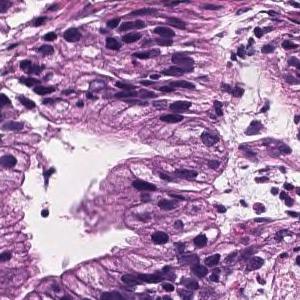
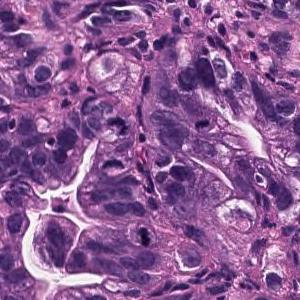
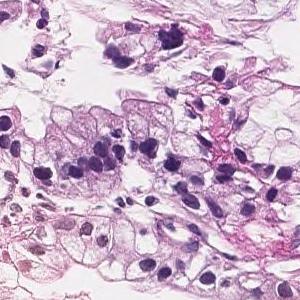
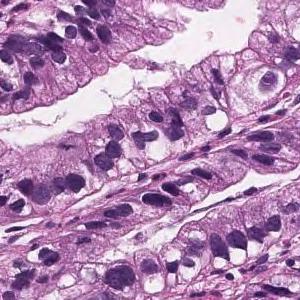
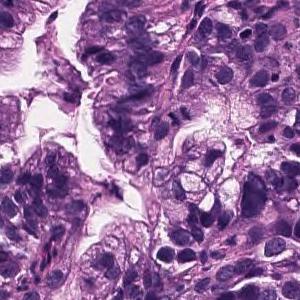
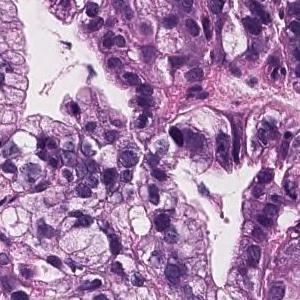
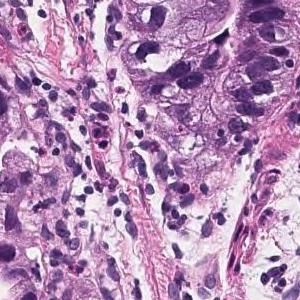
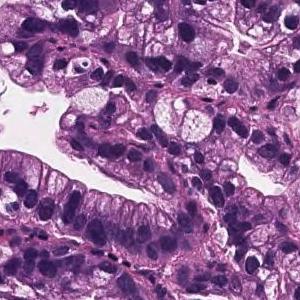
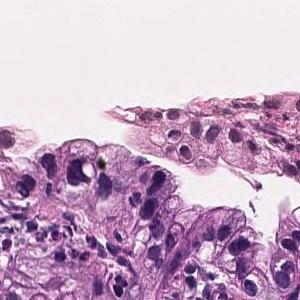
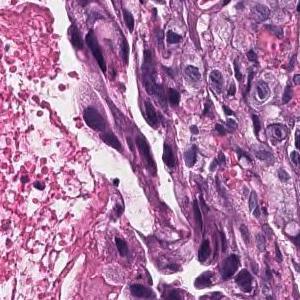
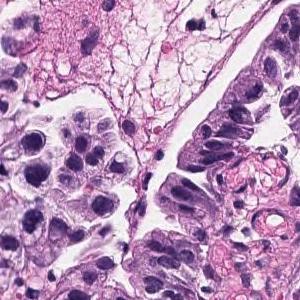
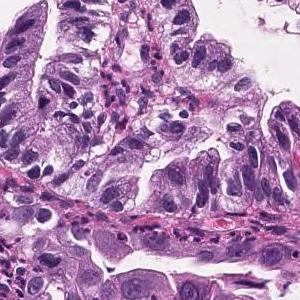
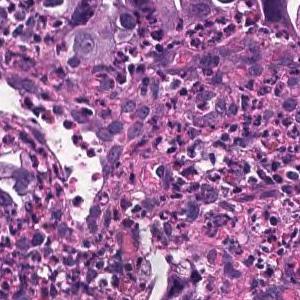
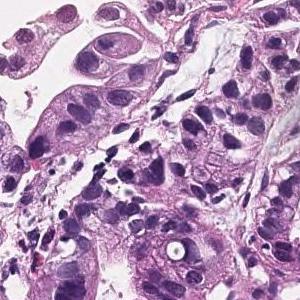
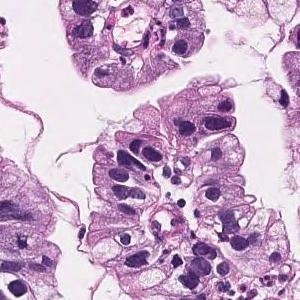
Hematoxylin and eosin stain; ×20; 15 tiles cut from one stomach biopsy slide.
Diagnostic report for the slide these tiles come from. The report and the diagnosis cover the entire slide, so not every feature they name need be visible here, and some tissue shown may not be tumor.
Tumor cells are large, highly columnar, large club-shaped nuclei, and are associated with chromatin aggregation. Papillary adenocarcinoma.
